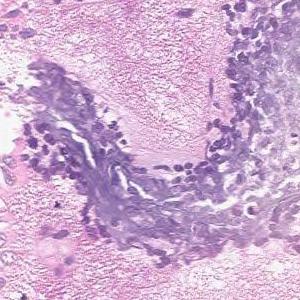
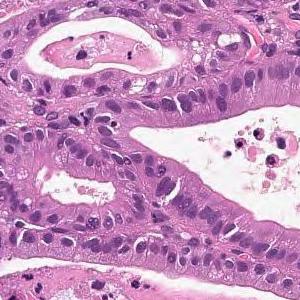
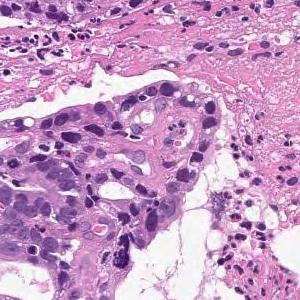
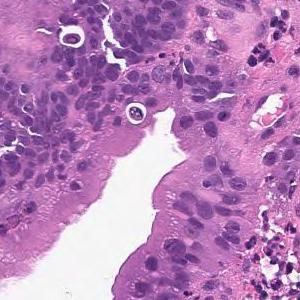
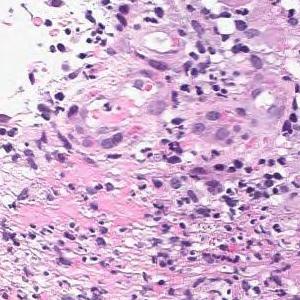
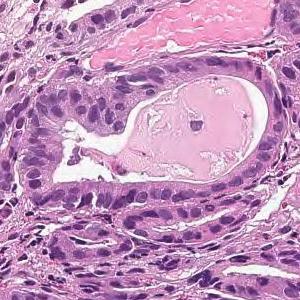
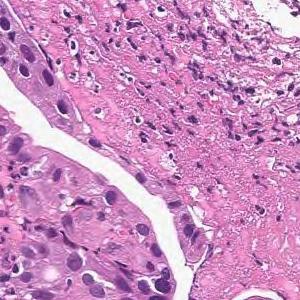
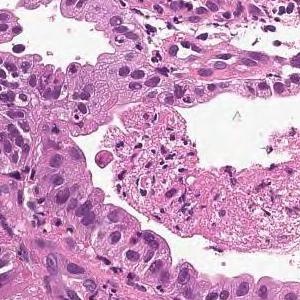
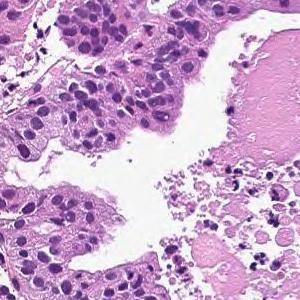
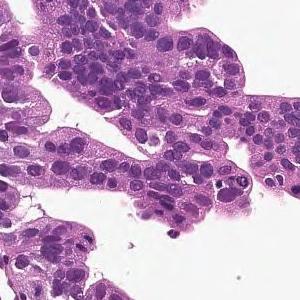
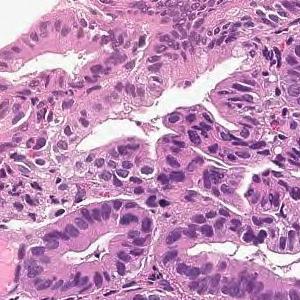
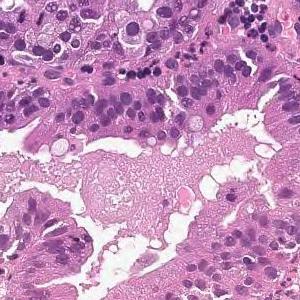
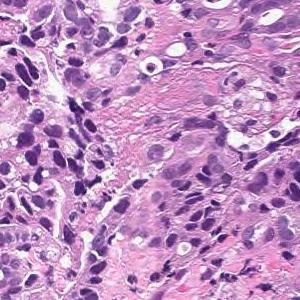
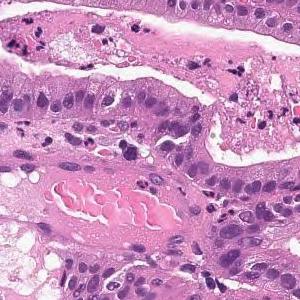
Scanned at ×20; hematoxylin and eosin stain; 14 image tiles from a single gastric biopsy slide.
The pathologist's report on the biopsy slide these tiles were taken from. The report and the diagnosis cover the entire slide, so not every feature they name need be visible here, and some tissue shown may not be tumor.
From the superficial epithelium to the muscularis mucosae, tumor tissue consisting of medium-sized and irregular glandular ducts infiltrating is observed. Well differentiated tubular adenocarcinoma
